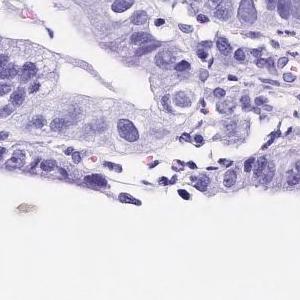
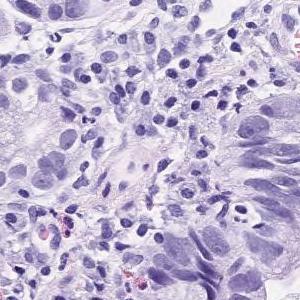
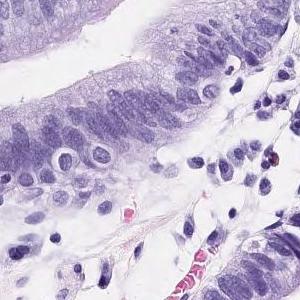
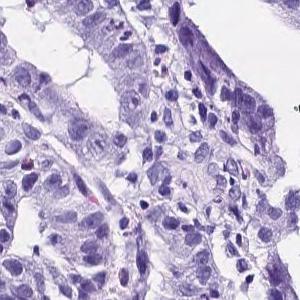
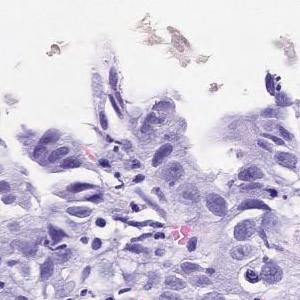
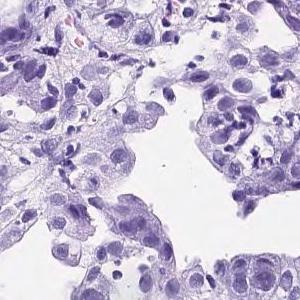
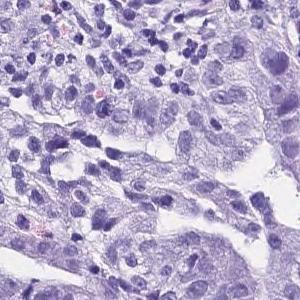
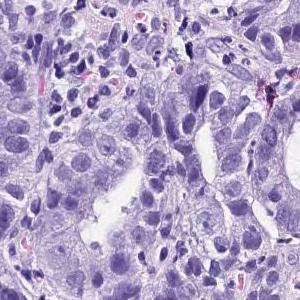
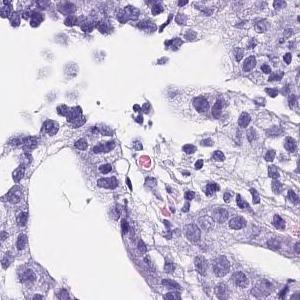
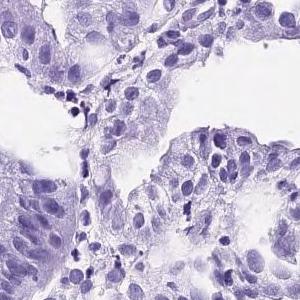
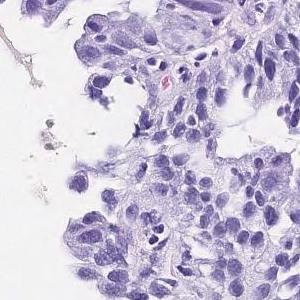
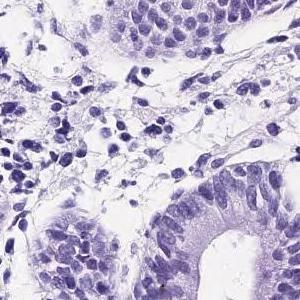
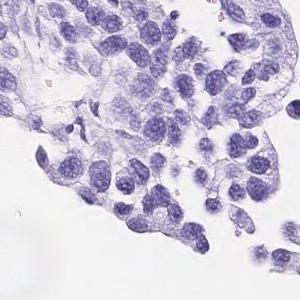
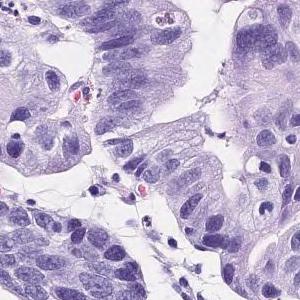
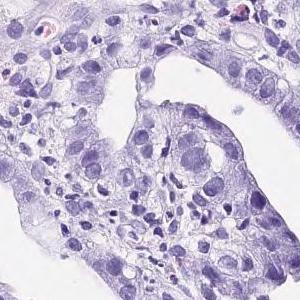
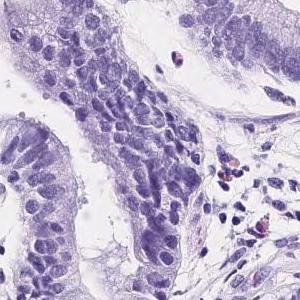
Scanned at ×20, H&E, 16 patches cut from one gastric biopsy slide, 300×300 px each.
Pathology report for the slide these tiles were cut from. The report and the diagnosis describe the slide as a whole, so these tiles may not show every feature named and may include non-tumor tissue.
Tumor tissue consisting of medium-sized and irregular ducts is observed infiltrating in the superficial epithelium. Tumor cells are highly columnar, with nuclei aligned basolaterally and polarized. Well differentiated tubular adenocarcinoma.
